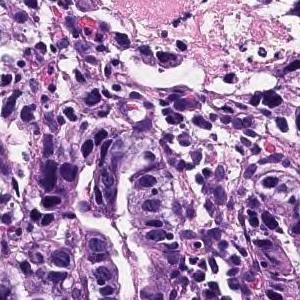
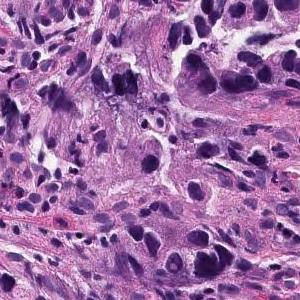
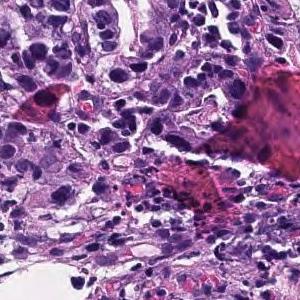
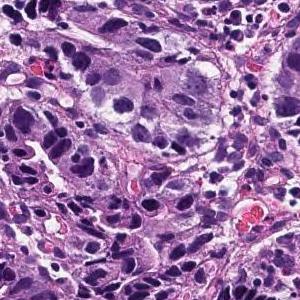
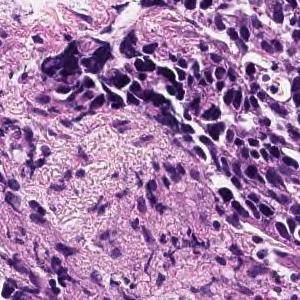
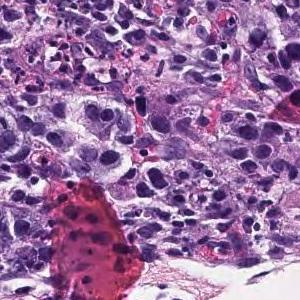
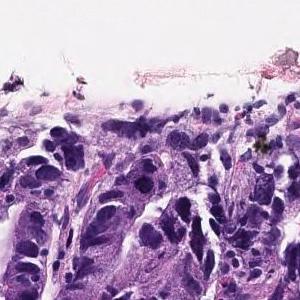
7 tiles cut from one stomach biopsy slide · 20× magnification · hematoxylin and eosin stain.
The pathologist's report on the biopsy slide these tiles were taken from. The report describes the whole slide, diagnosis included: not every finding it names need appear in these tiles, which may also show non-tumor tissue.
In the superficial epithelium, tumor tissue that invades by forming medium-sized to small, irregular ducts is observed. Tumor cells are columnar or cuboidal in shape. Moderately differentiated adenocarcinoma.
Histologic type: Moderately differentiated tubular adenocarcinoma.
